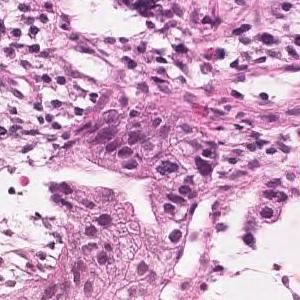
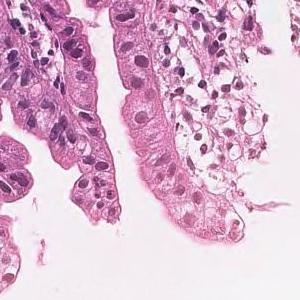
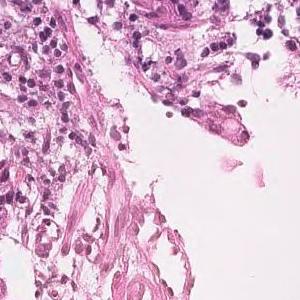
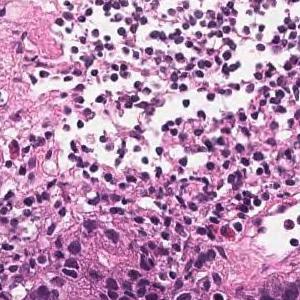
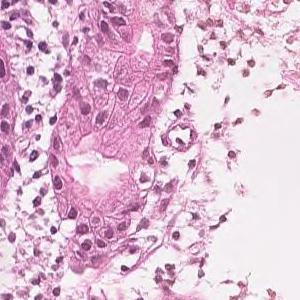
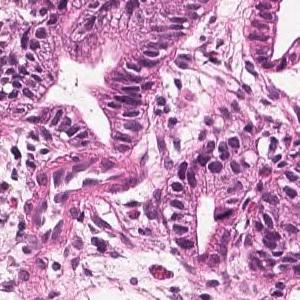
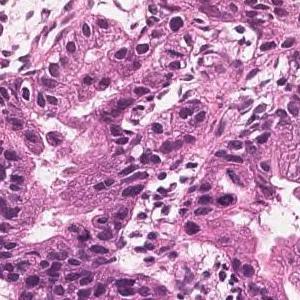
7 patches cut from one gastric biopsy slide · 300×300 px each · H&E stain.
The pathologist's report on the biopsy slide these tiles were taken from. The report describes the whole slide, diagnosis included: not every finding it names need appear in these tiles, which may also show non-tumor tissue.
Tumor tissue consisting of medium-sized and irregular ducts is observed infiltrating in the superficial epithelium. Tumor cells are highly columnar, with nuclei aligned basolaterally and polarized. Well differentiated tubular adenocarcinoma.
